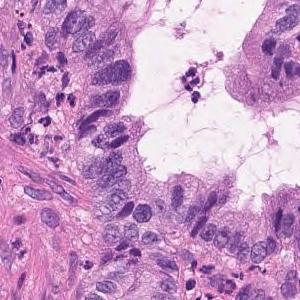
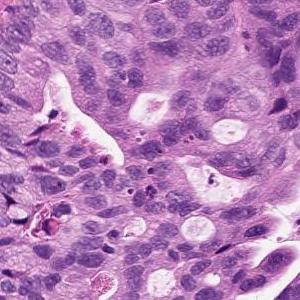
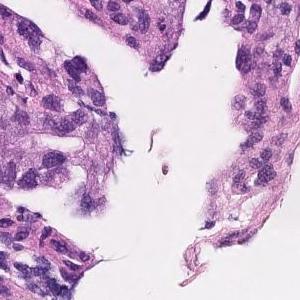
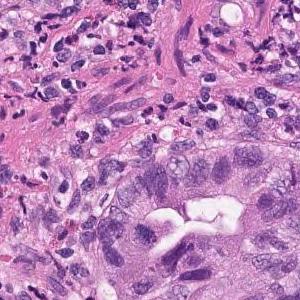
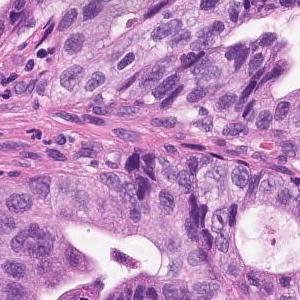
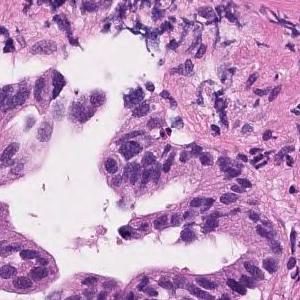
6 tiles cut from one stomach biopsy slide · H&E stain · 20× magnification.
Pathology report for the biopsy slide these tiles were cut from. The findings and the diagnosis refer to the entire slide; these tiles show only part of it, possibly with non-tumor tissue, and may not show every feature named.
Atypical epithelium forming papillary or sieving ducts and infiltrating growth is observed. Papillary adenocarcinoma.
